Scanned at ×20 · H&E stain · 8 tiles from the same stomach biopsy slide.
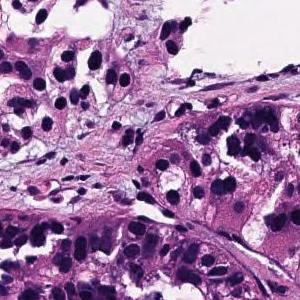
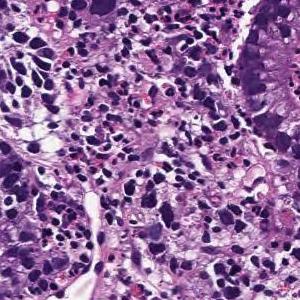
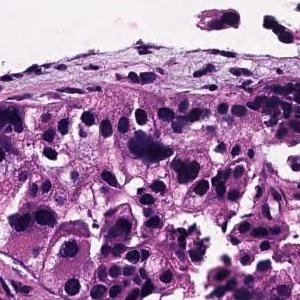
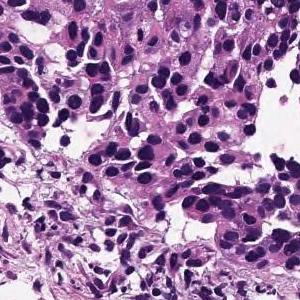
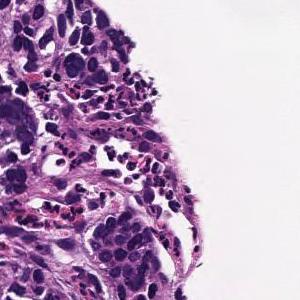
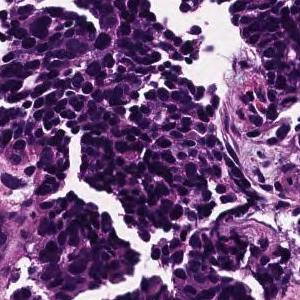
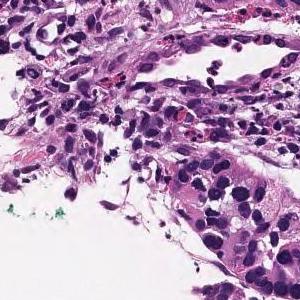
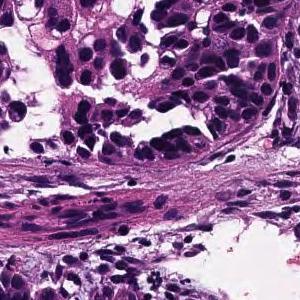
Diagnostic report for the slide these tiles come from. The report describes the whole slide, diagnosis included: not every finding it names need appear in these tiles, which may also show non-tumor tissue.
Medium to small, irregular glandular ducts are formed in the superficial epithelium, and in some cases, the glandular ducts are fused to show solid alveolar lesions and infiltrating tumor tissue is observed. Moderately to poorly differentiated adenocarcinoma.
